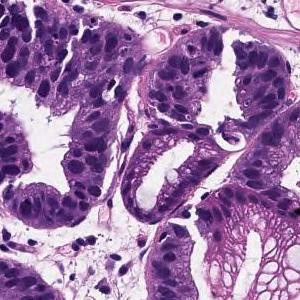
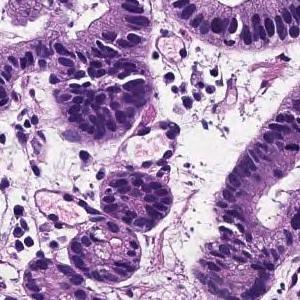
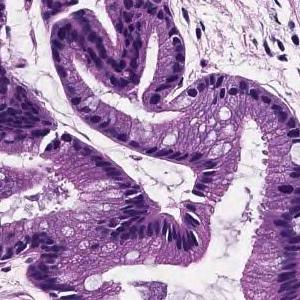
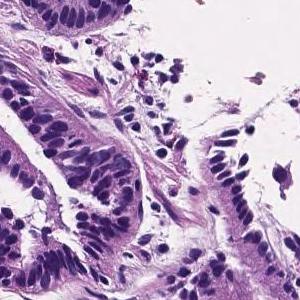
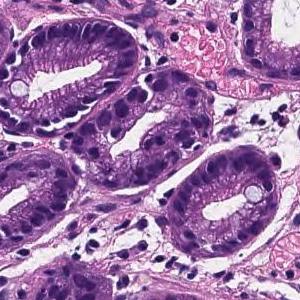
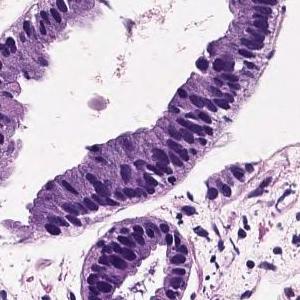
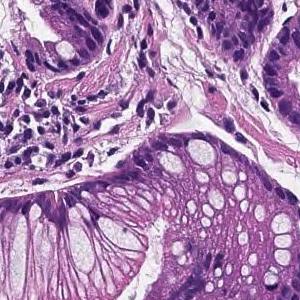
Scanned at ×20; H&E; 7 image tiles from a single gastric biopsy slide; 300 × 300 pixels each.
Diagnostic report for the slide these tiles come from. The report and the diagnosis cover the entire slide, so not every feature they name need be visible here, and some tissue shown may not be tumor.
Tumor cells are large, highly columnar, large club-shaped nuclei, and are associated with chromatin aggregation. Papillary adenocarcinoma.
